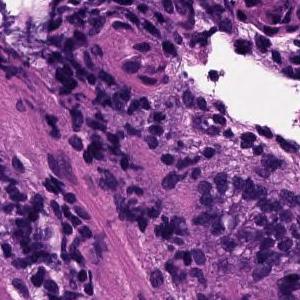
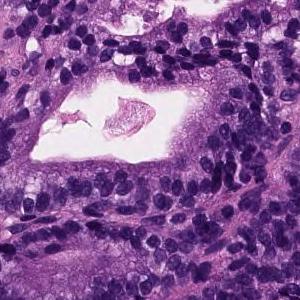
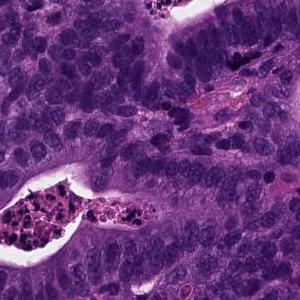
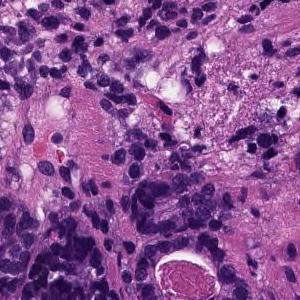
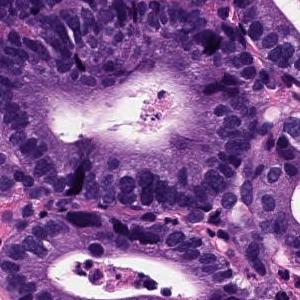
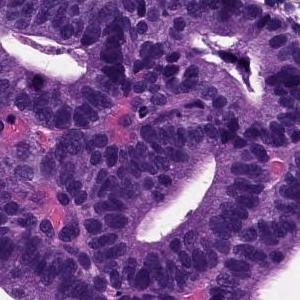
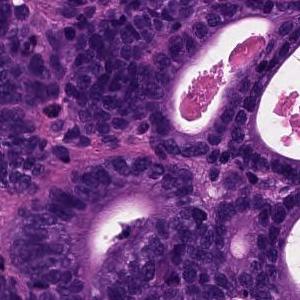
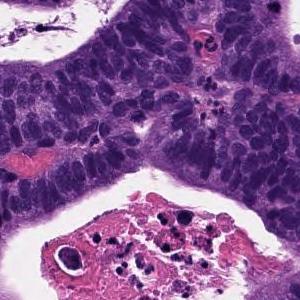
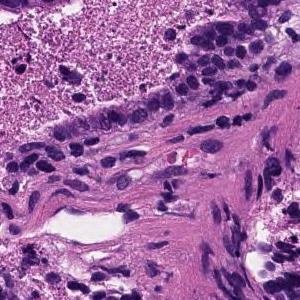
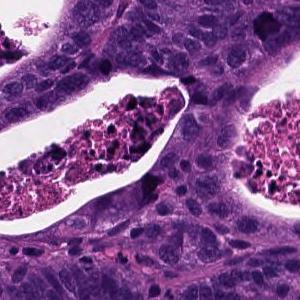
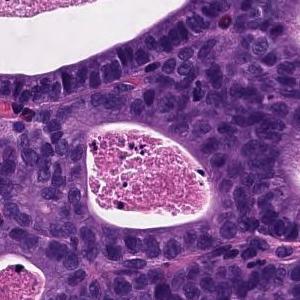
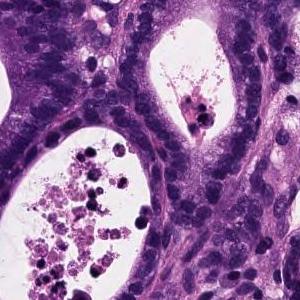
12 tiles cut from one stomach biopsy slide; 300×300 px each; ×20; H&E stain.
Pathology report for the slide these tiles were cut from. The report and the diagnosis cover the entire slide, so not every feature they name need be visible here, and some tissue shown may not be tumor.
From the superficial epithelium to the muscularis mucosae, tumor tissue consisting of medium-sized and irregular glandular ducts infiltrating is observed. Well differentiated tubular adenocarcinoma
